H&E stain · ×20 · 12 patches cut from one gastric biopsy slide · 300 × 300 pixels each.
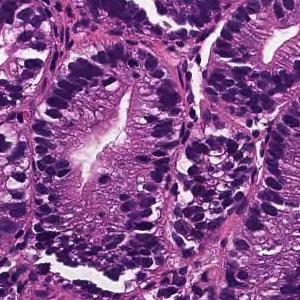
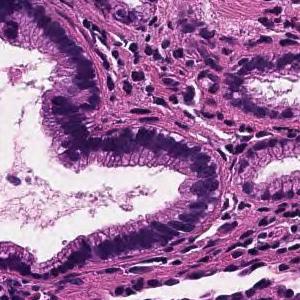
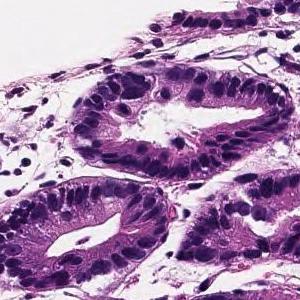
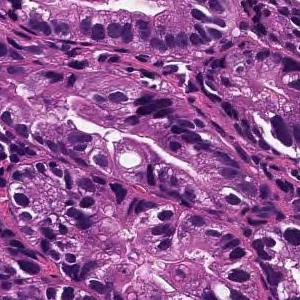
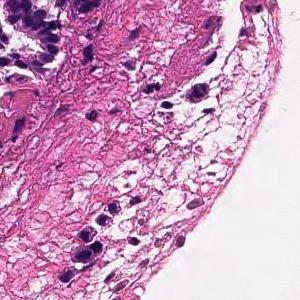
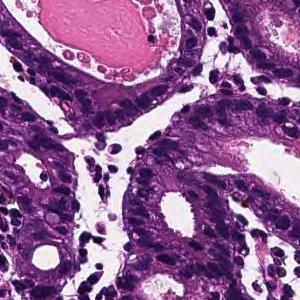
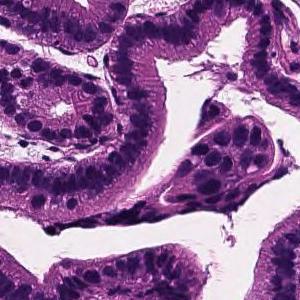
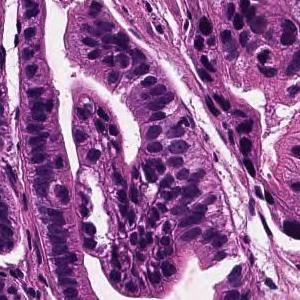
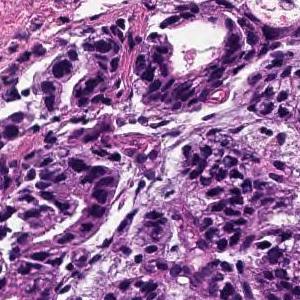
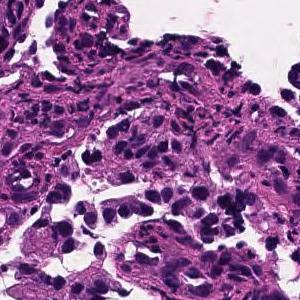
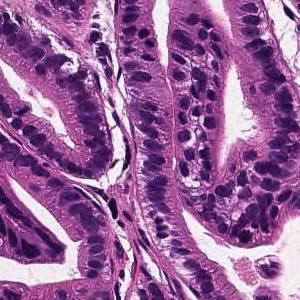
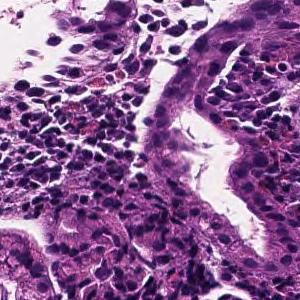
Pathology report for the biopsy slide these tiles were cut from. Both the report and the diagnosis are for the whole slide: these tiles need not show every feature named, and some of the tissue shown may not be tumor.
From the superficial epithelium to the muscularis mucosae, tumor tissue consisting of medium-sized and irregular glandular ducts infiltrating is observed. Well differentiated tubular adenocarcinoma
